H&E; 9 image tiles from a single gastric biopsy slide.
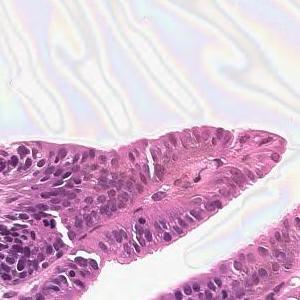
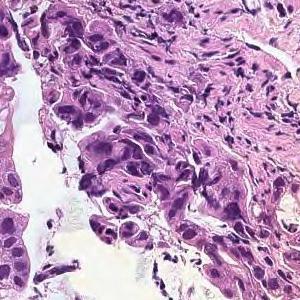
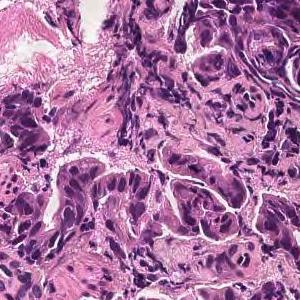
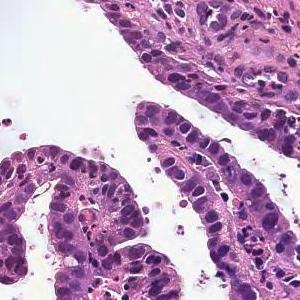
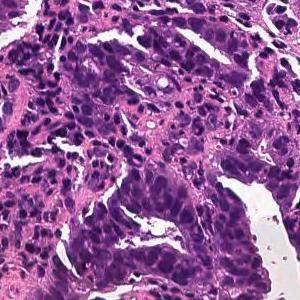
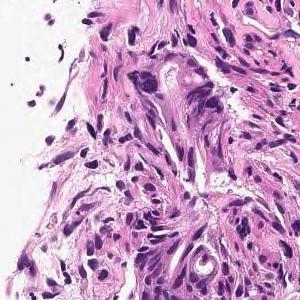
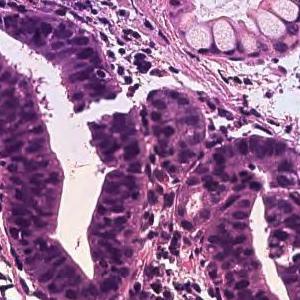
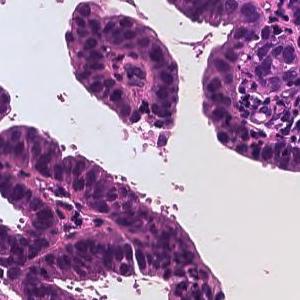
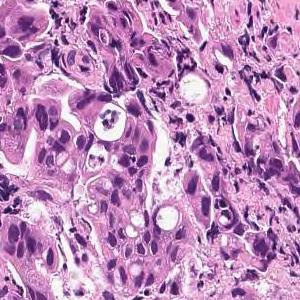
Pathology report for the slide these tiles were cut from. Both the report and the diagnosis are for the whole slide: these tiles need not show every feature named, and some of the tissue shown may not be tumor.
From the superficial epithelium to the muscularis mucosae, tumor tissue consisting of medium-sized and irregular glandular ducts infiltrating is observed. Well differentiated tubular adenocarcinoma
